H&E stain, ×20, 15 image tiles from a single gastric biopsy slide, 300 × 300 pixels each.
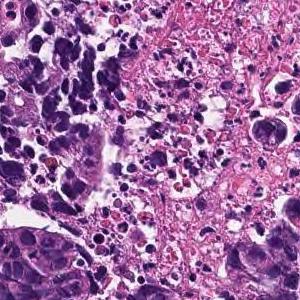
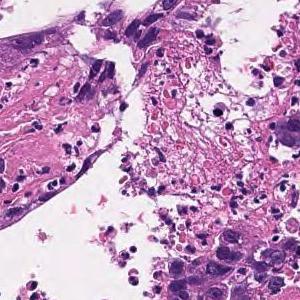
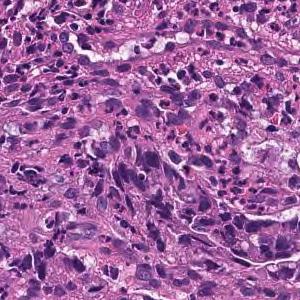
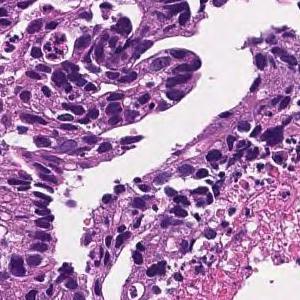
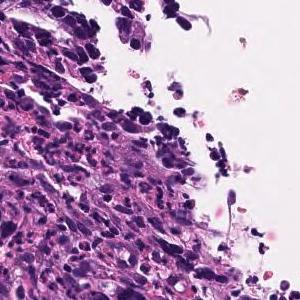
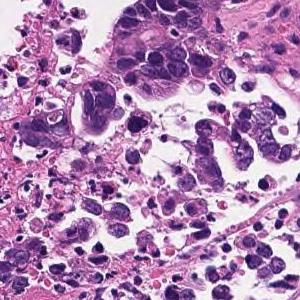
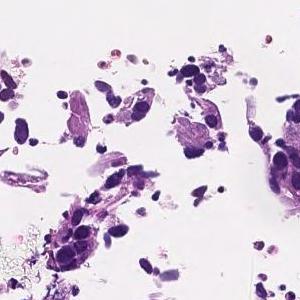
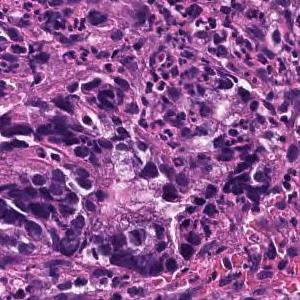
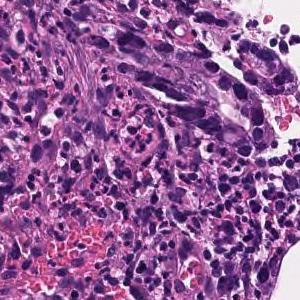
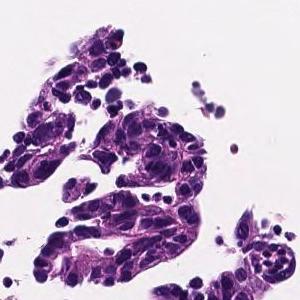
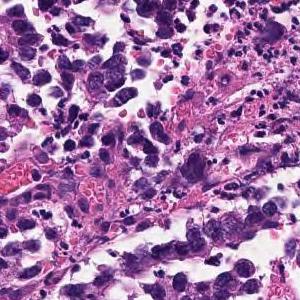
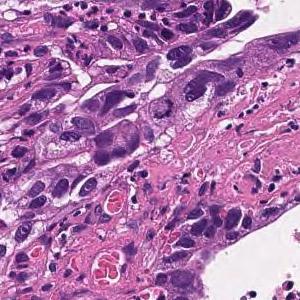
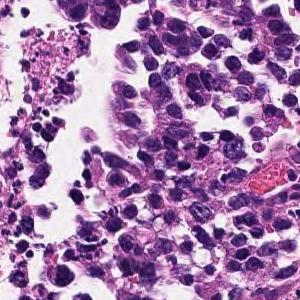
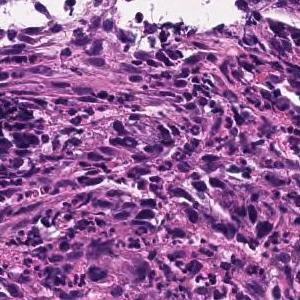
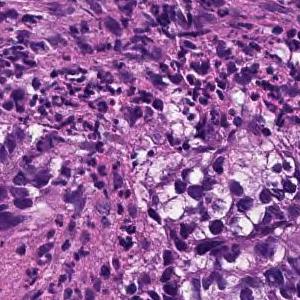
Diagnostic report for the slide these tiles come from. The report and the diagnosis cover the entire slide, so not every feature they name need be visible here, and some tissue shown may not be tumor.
In the superficial epithelium, tumor tissue that invades by forming medium-sized to small, irregular ducts is observed. Moderately differentiated adenocarcinoma.
Histologic type: Moderately differentiated tubular adenocarcinoma.
